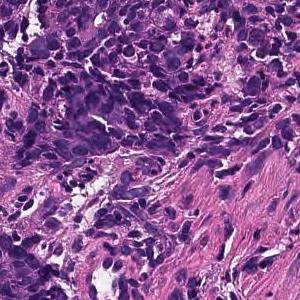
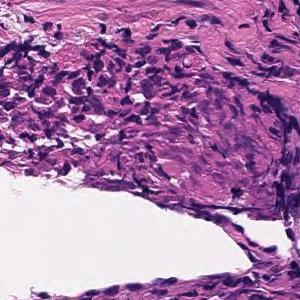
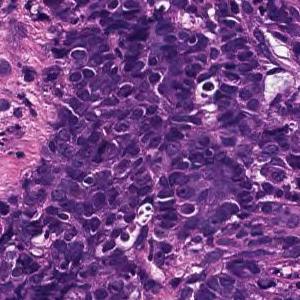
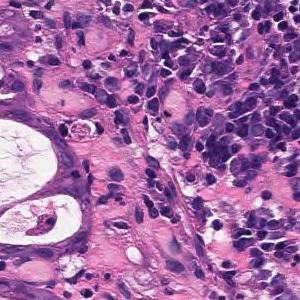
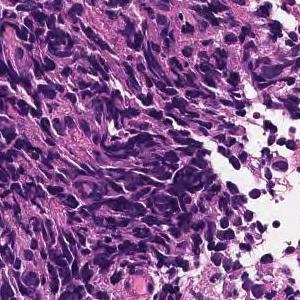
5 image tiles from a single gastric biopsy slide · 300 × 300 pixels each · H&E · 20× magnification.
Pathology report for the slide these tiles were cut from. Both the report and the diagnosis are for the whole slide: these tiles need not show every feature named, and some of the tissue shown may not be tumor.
Large sheet-like or diffusely infiltrating tumor tissue is found in the superficial epithelium. Poorly differentiated adenocarcinoma, solid-type
Histological subtype: Poorly differentiated adenocarcinoma, solid type, a category of the Japanese Classification of Gastric Carcinoma; in the WHO 2019 classification it is tubular adenocarcinoma, poorly differentiated.
